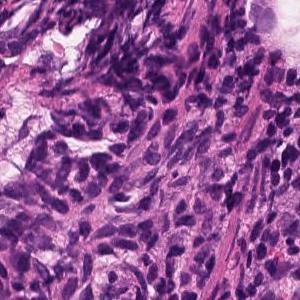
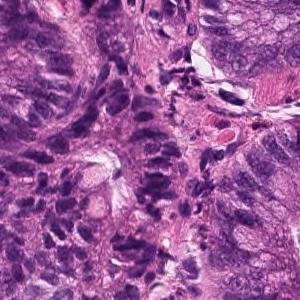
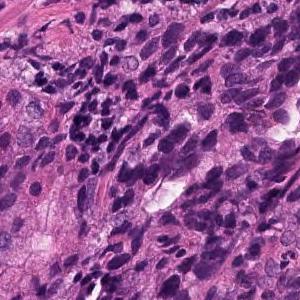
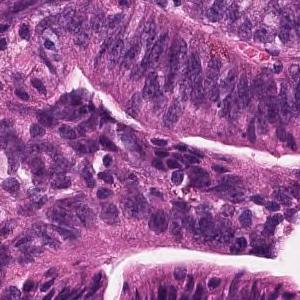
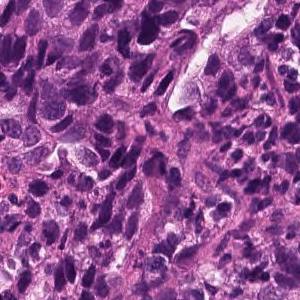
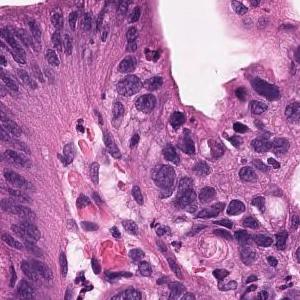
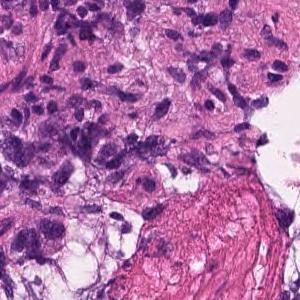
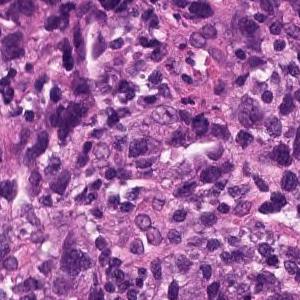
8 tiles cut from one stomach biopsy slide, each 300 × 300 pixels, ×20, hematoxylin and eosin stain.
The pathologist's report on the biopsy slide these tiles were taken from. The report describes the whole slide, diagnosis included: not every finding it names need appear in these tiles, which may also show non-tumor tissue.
In the superficial epithelium, tumor tissue that invades by forming medium-sized to small, irregular ducts is observed. Moderately differentiated adenocarcinoma.
Classified as moderately differentiated tubular adenocarcinoma.
